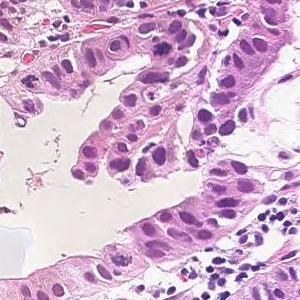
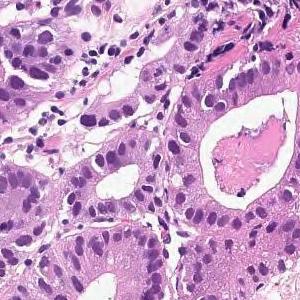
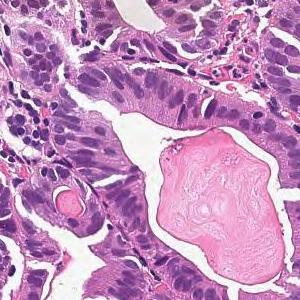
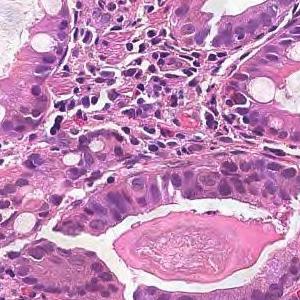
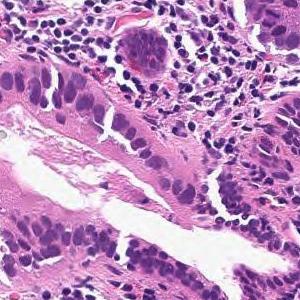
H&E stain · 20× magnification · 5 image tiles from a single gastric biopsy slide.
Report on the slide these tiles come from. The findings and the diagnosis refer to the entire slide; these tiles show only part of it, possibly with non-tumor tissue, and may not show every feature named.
From the superficial epithelium to the muscularis mucosae, tumor tissue consisting of medium-sized and irregular glandular ducts infiltrating is observed. Well differentiated tubular adenocarcinoma
